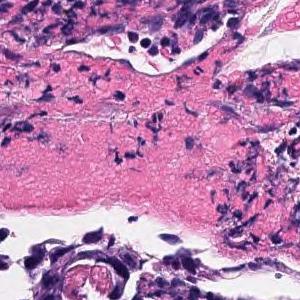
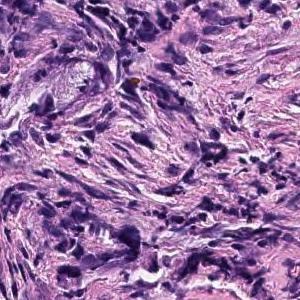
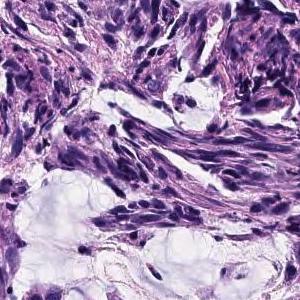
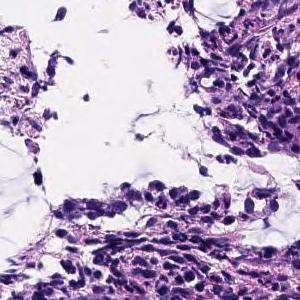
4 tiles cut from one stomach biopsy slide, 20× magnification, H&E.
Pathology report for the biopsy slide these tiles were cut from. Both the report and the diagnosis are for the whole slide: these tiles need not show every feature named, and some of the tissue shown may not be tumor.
The superficial epithelium shows small cord-like infiltrating tumor tissue. Some part of neoplastic cells are signet ring cell type which show single invasion manner. Poorly differentiated adenocarcinoma, non-solid type.
The non-solid type named here is a Japanese Classification of Gastric Carcinoma category.
